×20 · H&E stain · 10 patches cut from one gastric biopsy slide.
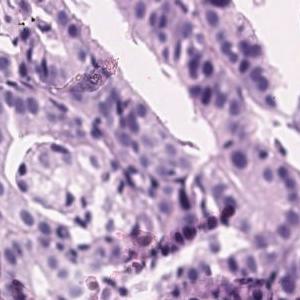
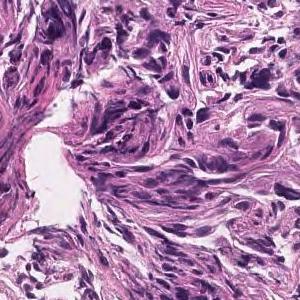
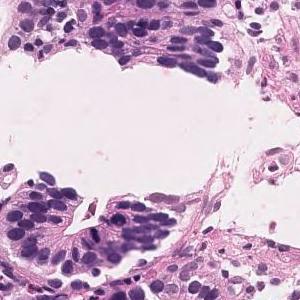
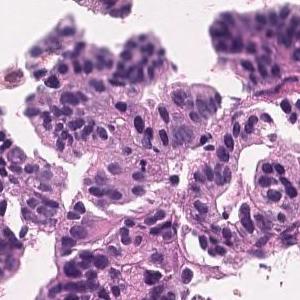
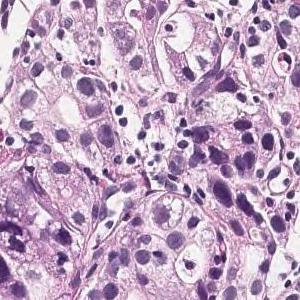
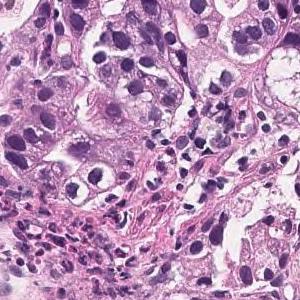
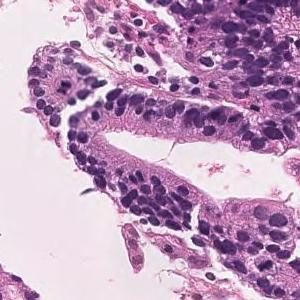
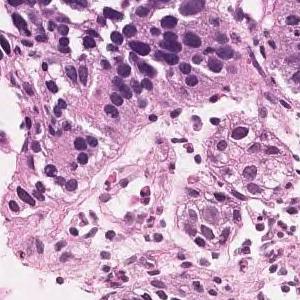
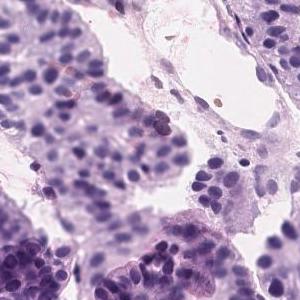
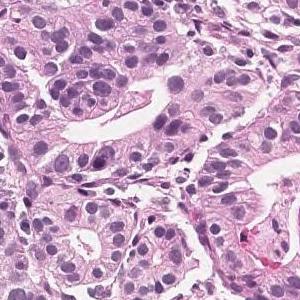
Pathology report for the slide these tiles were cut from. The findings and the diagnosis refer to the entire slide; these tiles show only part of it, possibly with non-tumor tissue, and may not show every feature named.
In the superficial epithelium, tumor tissue that invades by forming medium-sized to small, irregular ducts is observed. moderately differentiated tubular adenocarcinoma.
